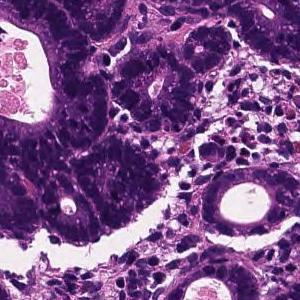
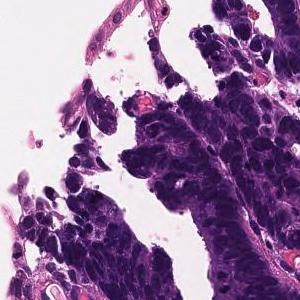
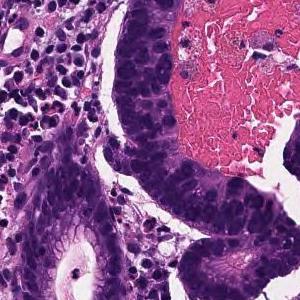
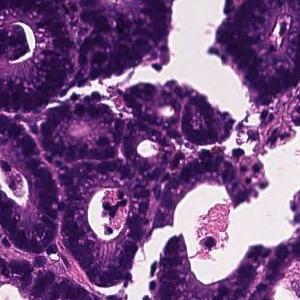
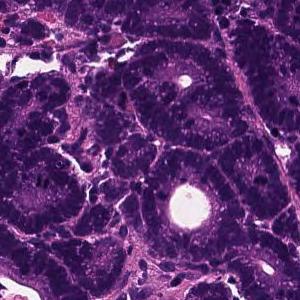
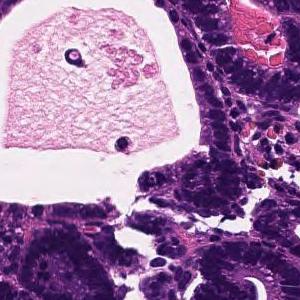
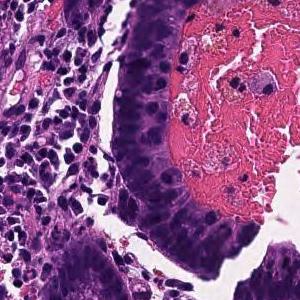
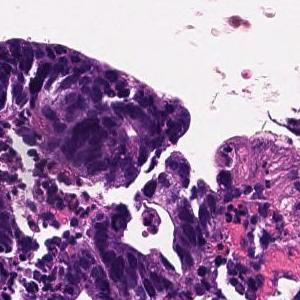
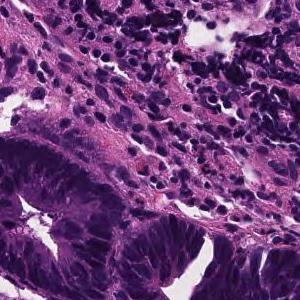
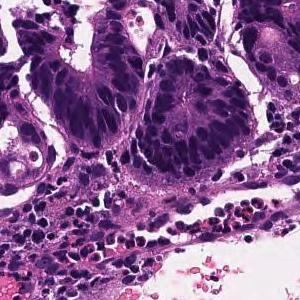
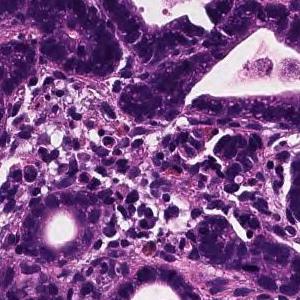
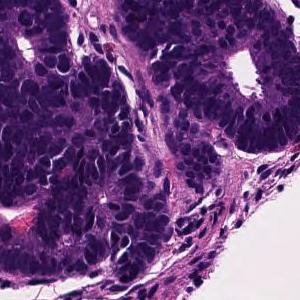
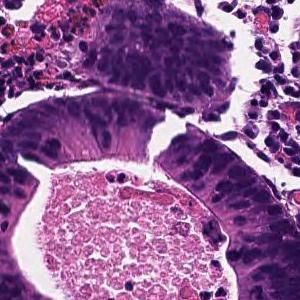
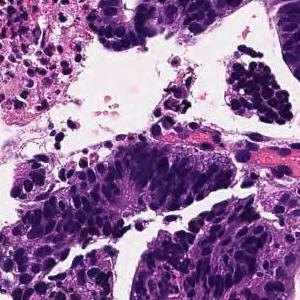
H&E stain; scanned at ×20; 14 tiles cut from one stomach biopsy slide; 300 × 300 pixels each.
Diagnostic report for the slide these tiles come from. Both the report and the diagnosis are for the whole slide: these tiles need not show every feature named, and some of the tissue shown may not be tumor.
On the superficial epithelium, tumor tissue consisting of medium-sized and irregular glandular ducts partially fused and infiltrated is observed. Well to moderately differentiated tubular adenocarcinoma (well differentiated tubular adenocarcinoma, moderately differentiated tubular adenocarcinoma)
Subtype: Well to moderately differentiated tubular adenocarcinoma.
